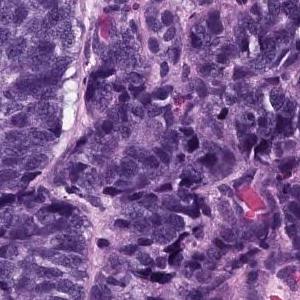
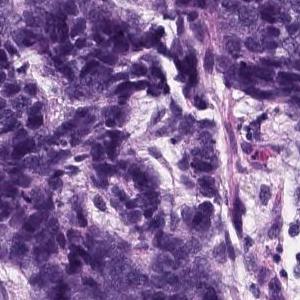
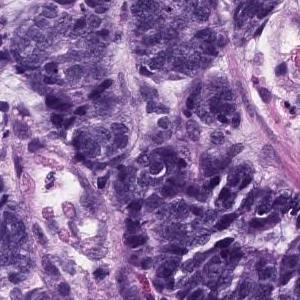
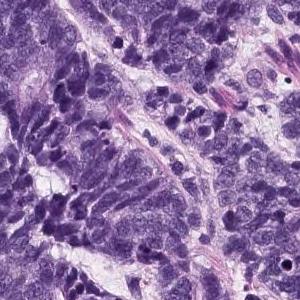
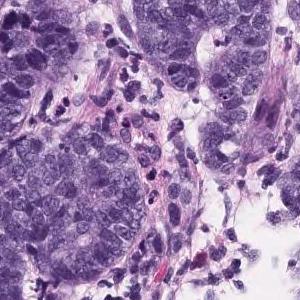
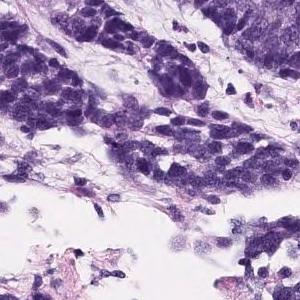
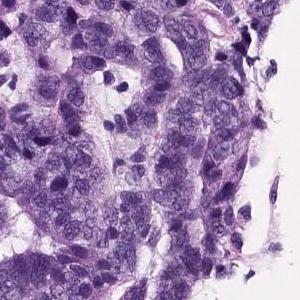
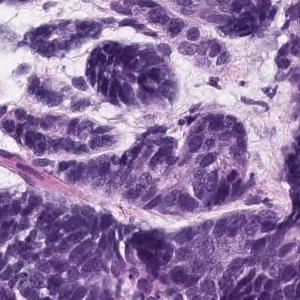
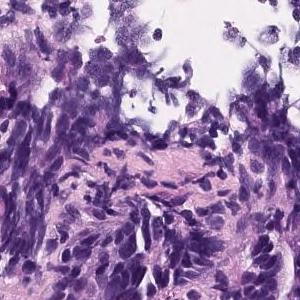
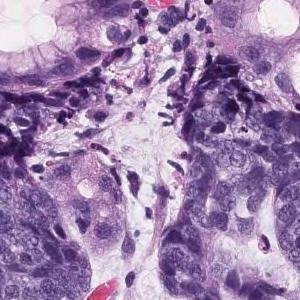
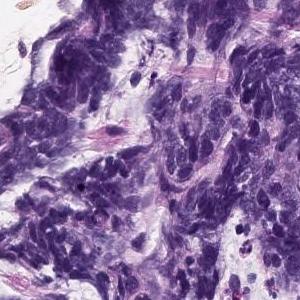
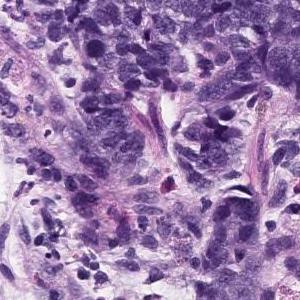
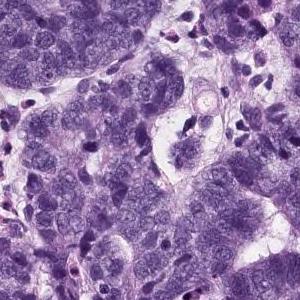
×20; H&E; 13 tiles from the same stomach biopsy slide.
The pathologist's report on the biopsy slide these tiles were taken from. The findings and the diagnosis refer to the entire slide; these tiles show only part of it, possibly with non-tumor tissue, and may not show every feature named.
Group 5, Adenocarcinoma. Moderately to poorly differentiated adenocarcinoma
